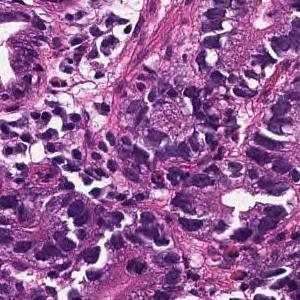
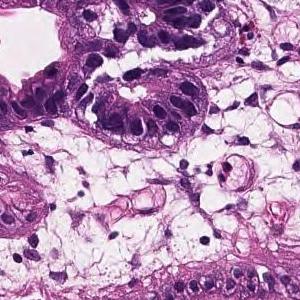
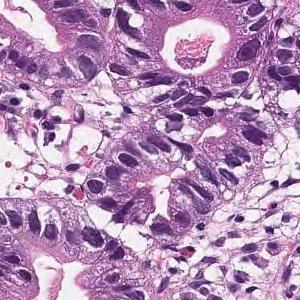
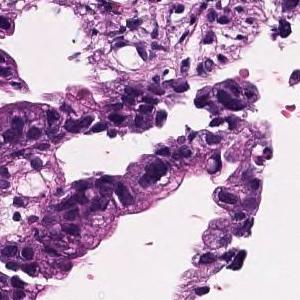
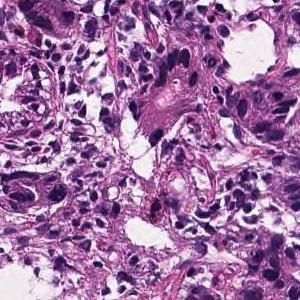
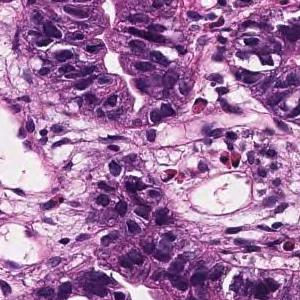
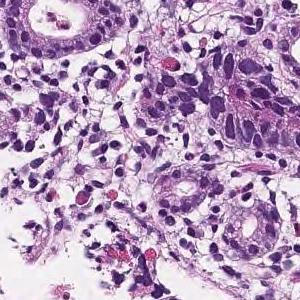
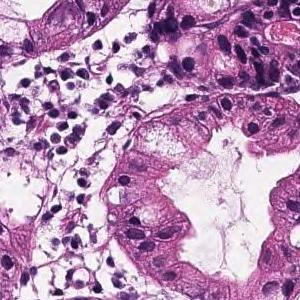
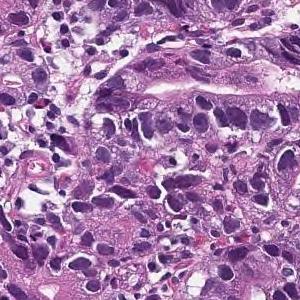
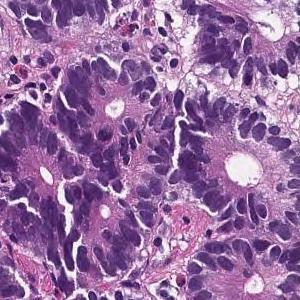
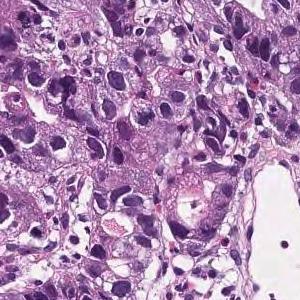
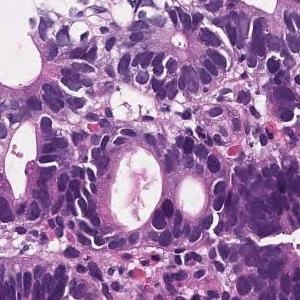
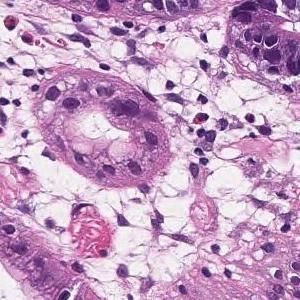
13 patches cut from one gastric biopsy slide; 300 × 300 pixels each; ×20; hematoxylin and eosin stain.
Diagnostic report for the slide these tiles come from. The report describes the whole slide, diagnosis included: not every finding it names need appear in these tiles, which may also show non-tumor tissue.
On the superficial epithelium, tumor tissue consisting of large, irregular glandular ducts partially fused and infiltrated is observed. Well to moderately differentiated tubular adenocarcinoma (well differentiated tubular adenocarcinoma, moderately differentiated tubular adenocarcinoma)
Histologic type: Well to moderately differentiated tubular adenocarcinoma.
